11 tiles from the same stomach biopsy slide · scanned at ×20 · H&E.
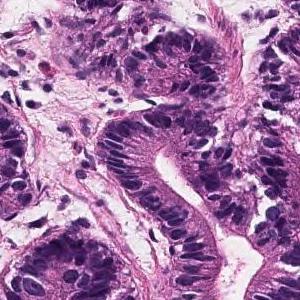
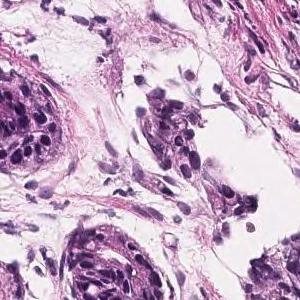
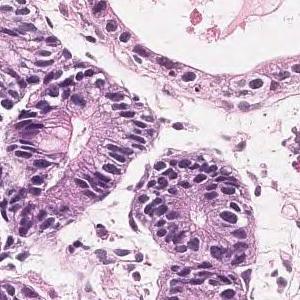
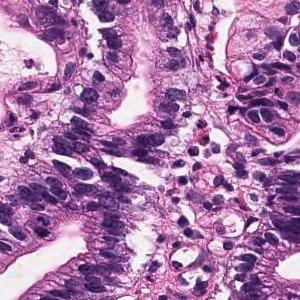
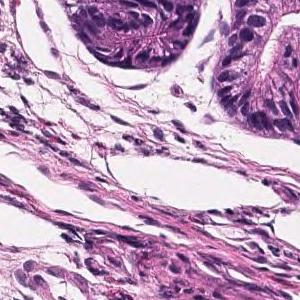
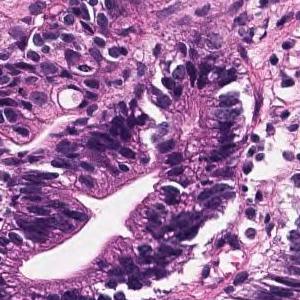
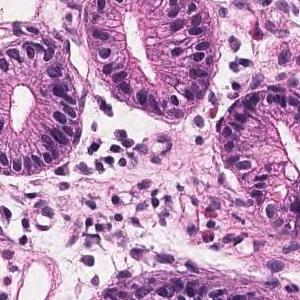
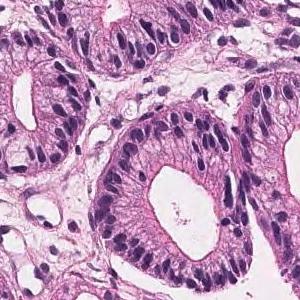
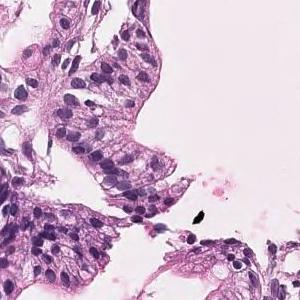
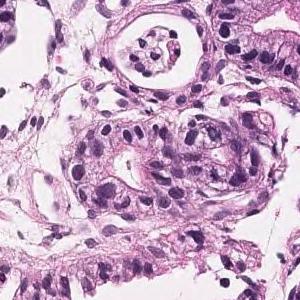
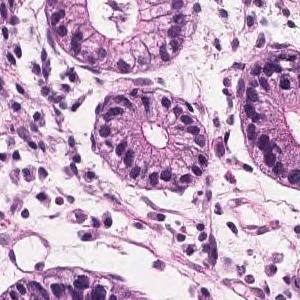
Report on the slide these tiles come from. What the report and the diagnosis say applies to the whole slide; these tiles may miss some of the features named and may include tissue that is not tumor.
Tumor tissue in which medium to small irregular ducts infiltrate and proliferate in the submucosa can be seen in the epithelium. Well differentiated tubular adenocarcinoma
